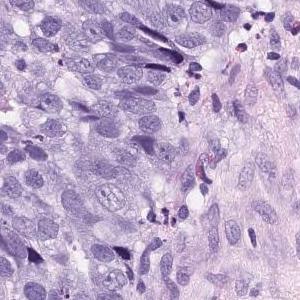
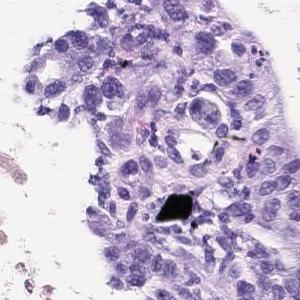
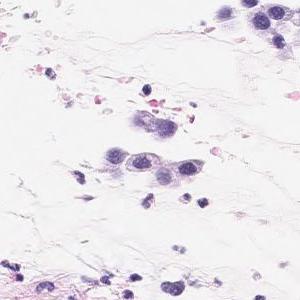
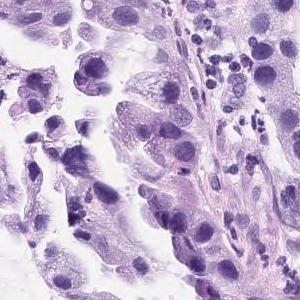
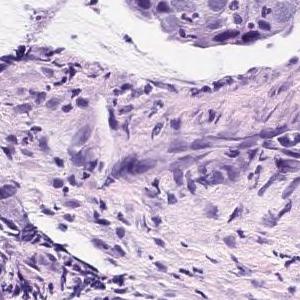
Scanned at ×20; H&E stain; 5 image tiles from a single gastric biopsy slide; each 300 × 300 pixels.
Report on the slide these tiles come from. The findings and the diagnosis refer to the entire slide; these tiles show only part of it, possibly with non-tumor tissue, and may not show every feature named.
Atypical l cells with atypical nuclei forming solid or diffuse vesicles or small irregular atypical ducts and growing in a complex manner. Well differentiated tubular adenocarcinoma
